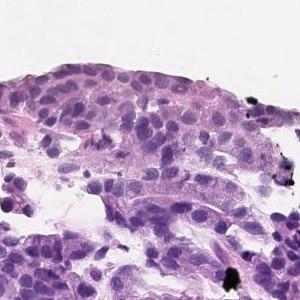
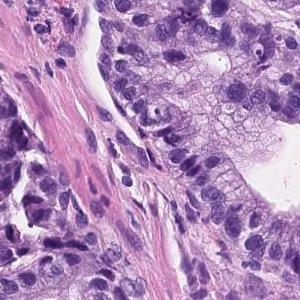
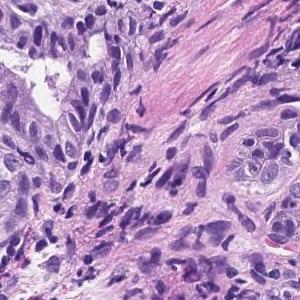
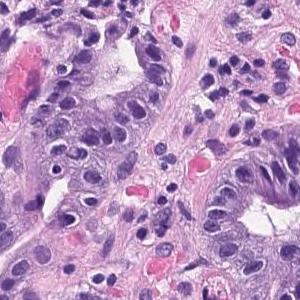
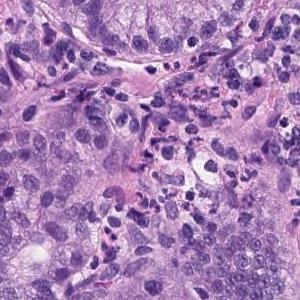
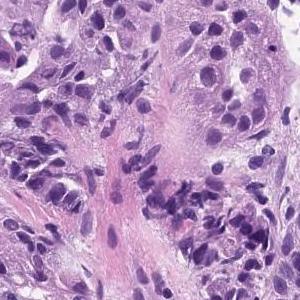
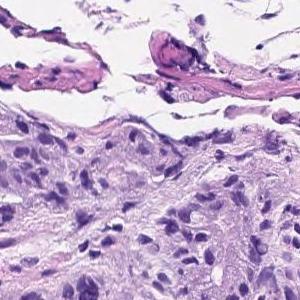
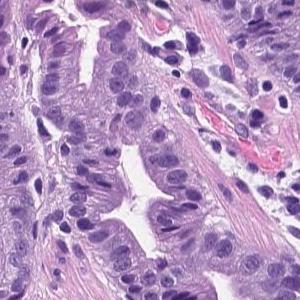
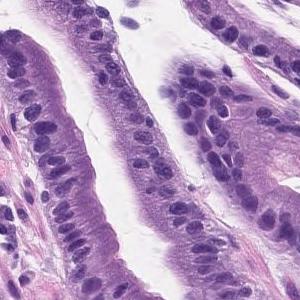
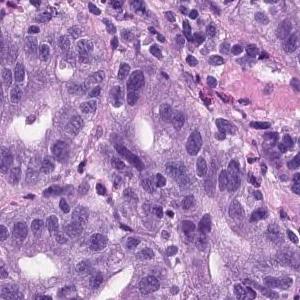
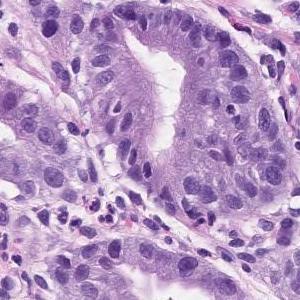
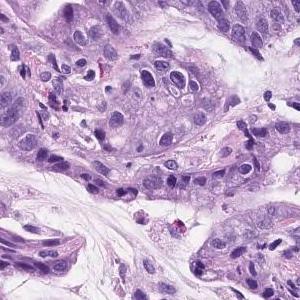
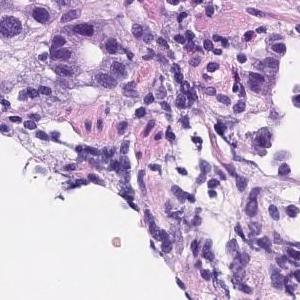
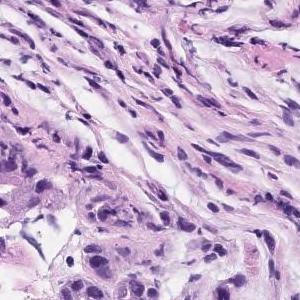
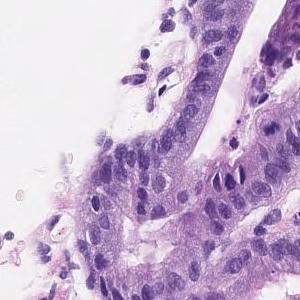
15 image tiles from a single gastric biopsy slide, 300 × 300 pixels each, ×20, H&E stain.
Pathology report for the biopsy slide these tiles were cut from. The report and the diagnosis describe the slide as a whole, so these tiles may not show every feature named and may include non-tumor tissue.
Tumor tissue consisting of medium-sized and irregular ducts is observed infiltrating in the superficial epithelium. Tumor cells are highly columnar, with nuclei aligned basolaterally and polarized. Well differentiated tubular adenocarcinoma.
